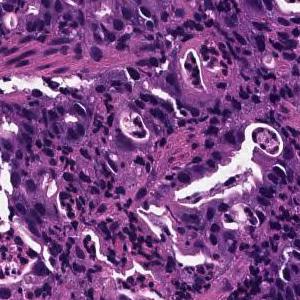
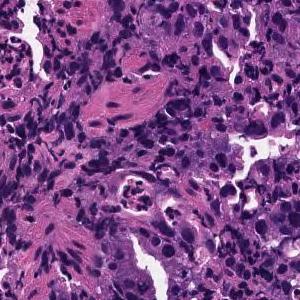
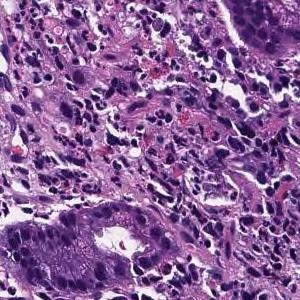
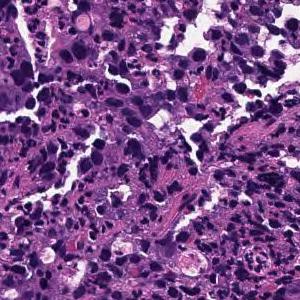
4 tiles from the same stomach biopsy slide · each 300 × 300 pixels.
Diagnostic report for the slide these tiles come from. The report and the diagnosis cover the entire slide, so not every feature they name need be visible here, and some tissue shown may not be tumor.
Medium to small, irregular glandular ducts are formed in the superficial epithelium, and in some cases, the glandular ducts are fused to show solid alveolar lesions and infiltrating tumor tissue is observed. Moderately to poorly differentiated adenocarcinoma.
